10 tiles cut from one stomach biopsy slide · 300 × 300 pixels each · ×20 · H&E stain.
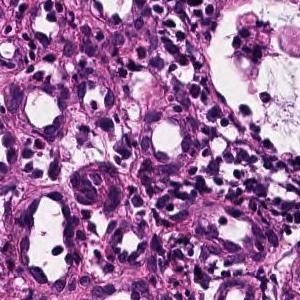
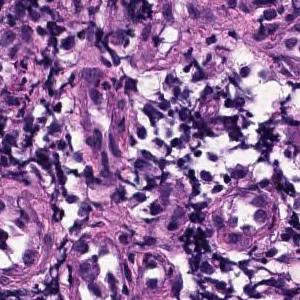
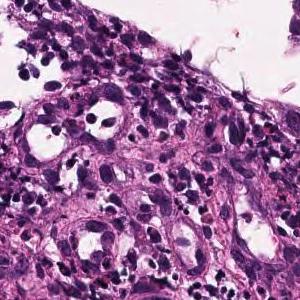
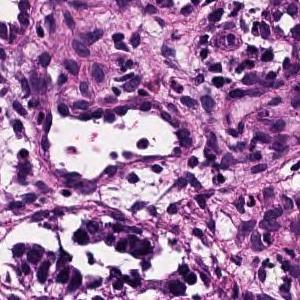
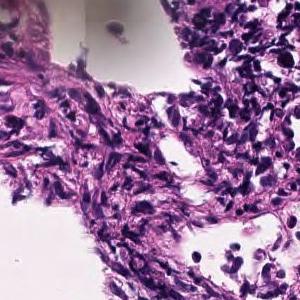
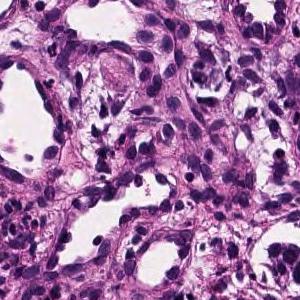
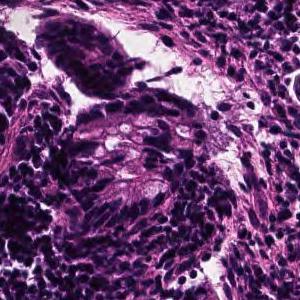
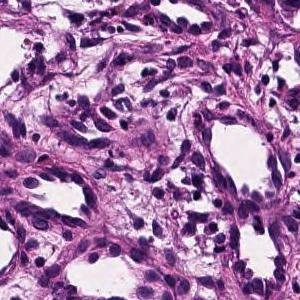
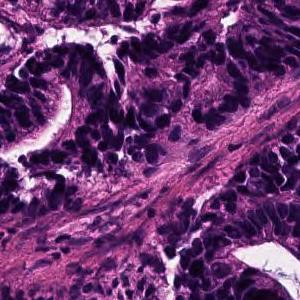
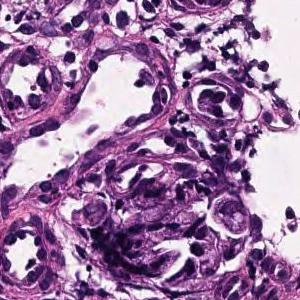
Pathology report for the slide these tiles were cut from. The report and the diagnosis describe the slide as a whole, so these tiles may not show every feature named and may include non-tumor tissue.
On the superficial epithelium, tumor tissue consisting of large, irregular glandular ducts partially fused and infiltrated is observed. Well to moderately differentiated tubular adenocarcinoma (well differentiated tubular adenocarcinoma, moderately differentiated tubular adenocarcinoma)
Subtype: Well to moderately differentiated tubular adenocarcinoma.
